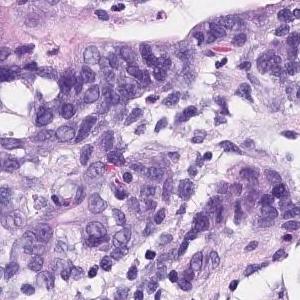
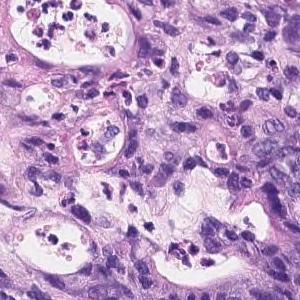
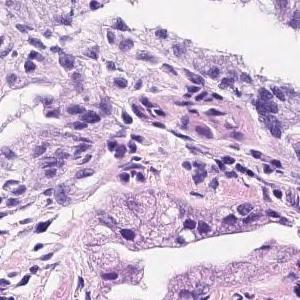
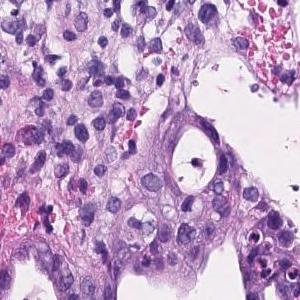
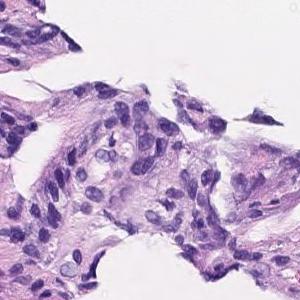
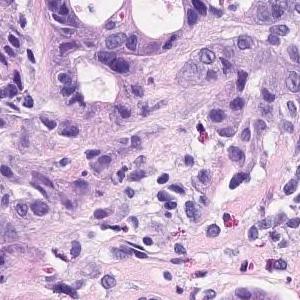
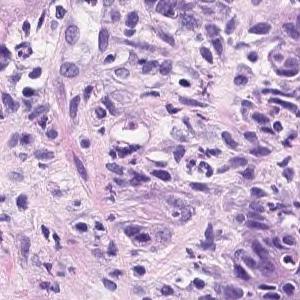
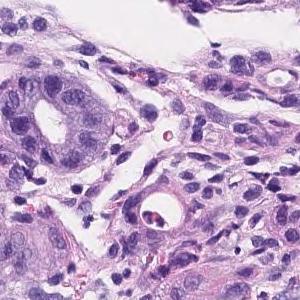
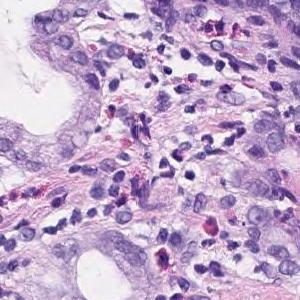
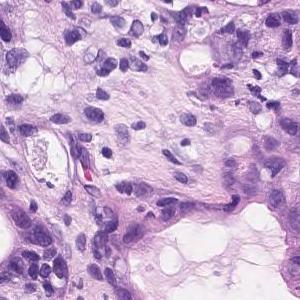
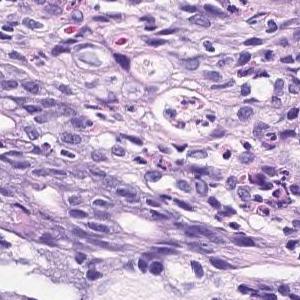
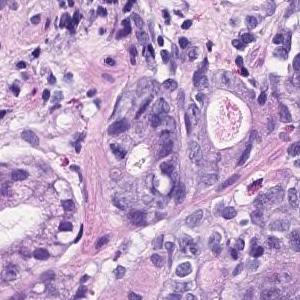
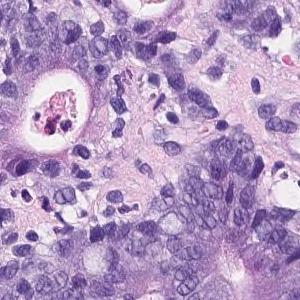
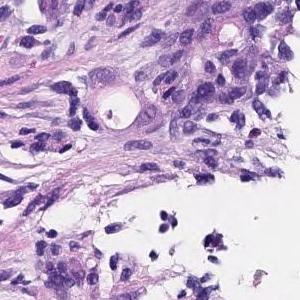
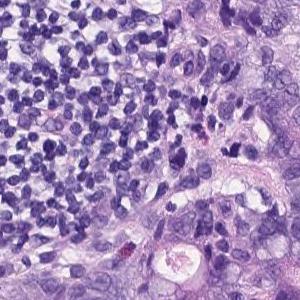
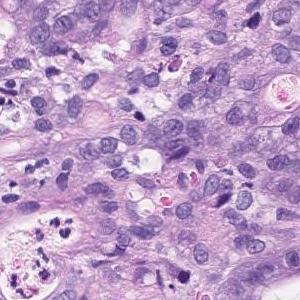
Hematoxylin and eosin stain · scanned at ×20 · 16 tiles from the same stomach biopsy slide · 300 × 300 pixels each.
The pathologist's report on the biopsy slide these tiles were taken from. Both the report and the diagnosis are for the whole slide: these tiles need not show every feature named, and some of the tissue shown may not be tumor.
Irregularly fused atypical ducts proliferating while replacing existing ducts was observed. moderately differentiated tubular adenocarcinoma
